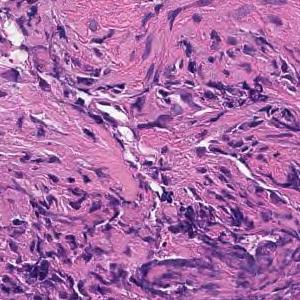
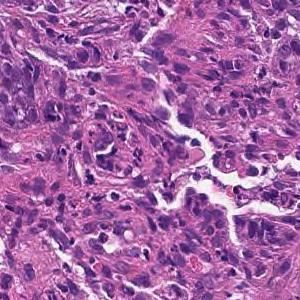
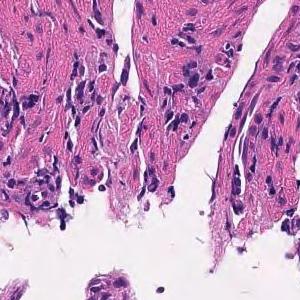
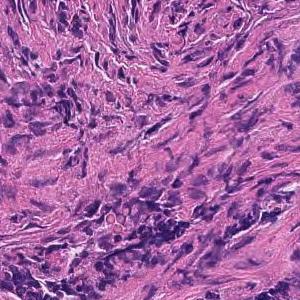
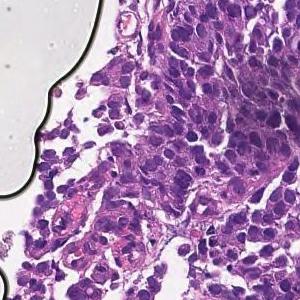
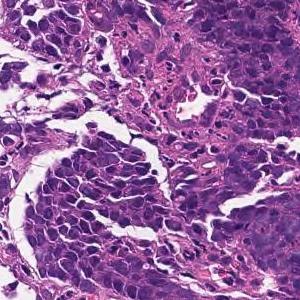
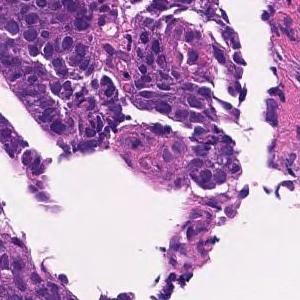
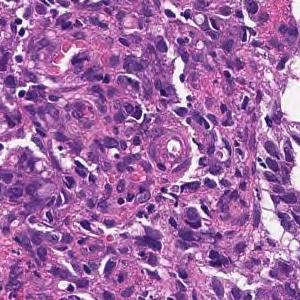
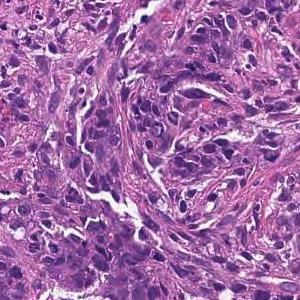
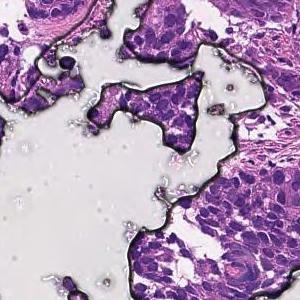
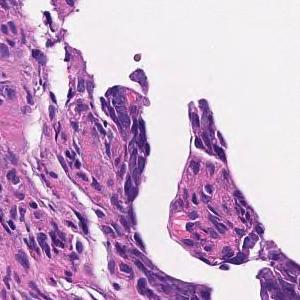
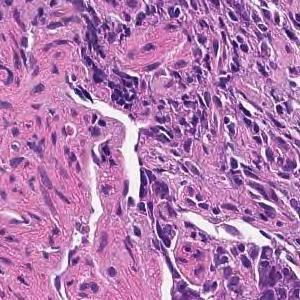
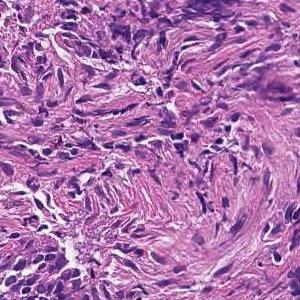
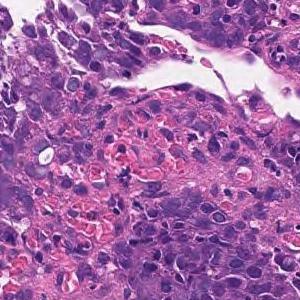
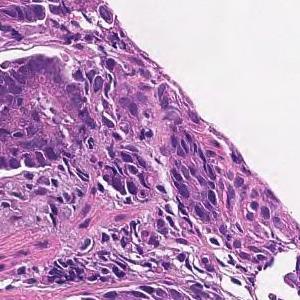
H&E stain · ×20 · 15 tiles from the same stomach biopsy slide · each 300 × 300 pixels.
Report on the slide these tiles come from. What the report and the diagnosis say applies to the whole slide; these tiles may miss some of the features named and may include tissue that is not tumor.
Tumor tissue consisting of cord-like or small, irregular glandular ducts fused and infiltrated is observed in the superficial epithelium. Poorly differentiated adenocarcinoma, non-solid type
The term "non-solid type" comes from the Japanese Classification of Gastric Carcinoma.
